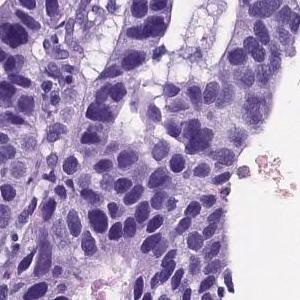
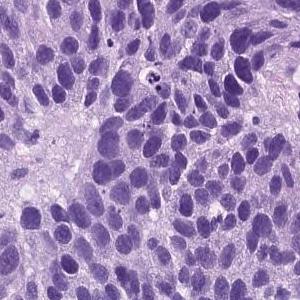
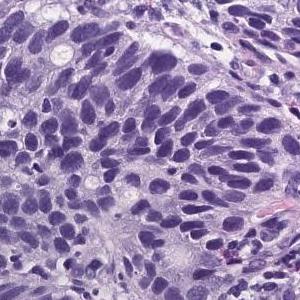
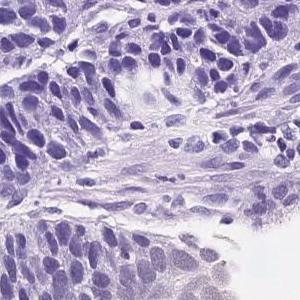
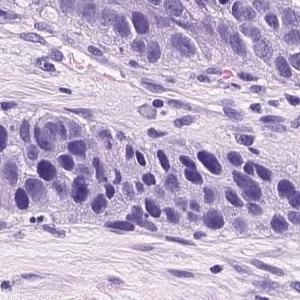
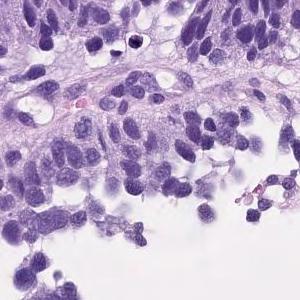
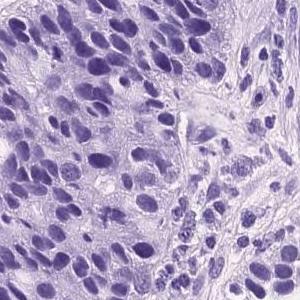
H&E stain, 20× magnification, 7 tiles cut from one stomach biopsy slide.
Pathology report for the biopsy slide these tiles were cut from. The report and the diagnosis cover the entire slide, so not every feature they name need be visible here, and some tissue shown may not be tumor.
Atypical cells with atypical nuclei forming small irregular atypical ducts and growing in a conformative manner. moderately differentiated tubular adenocarcinoma
The dataset labels this slide moderately to poorly differentiated adenocarcinoma.
